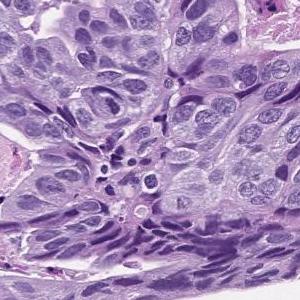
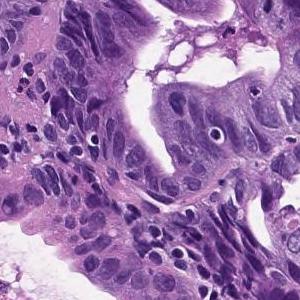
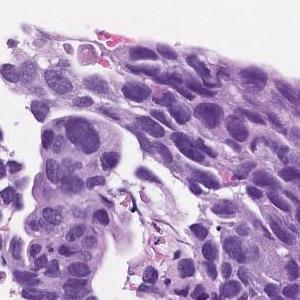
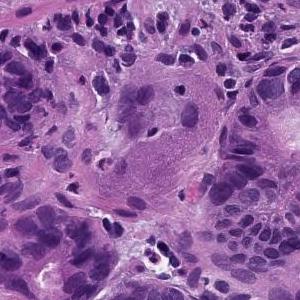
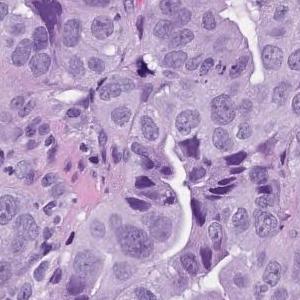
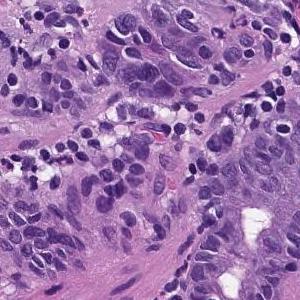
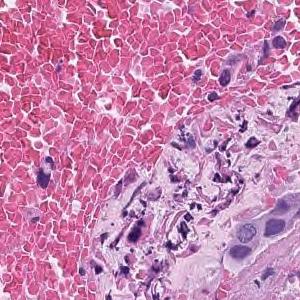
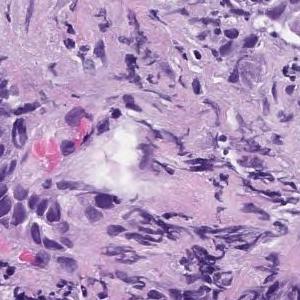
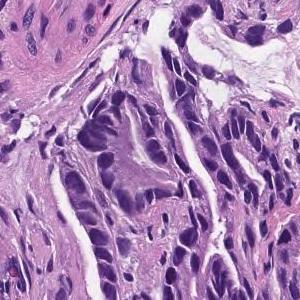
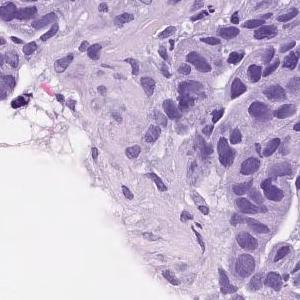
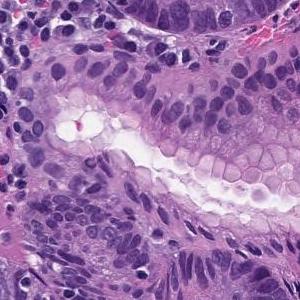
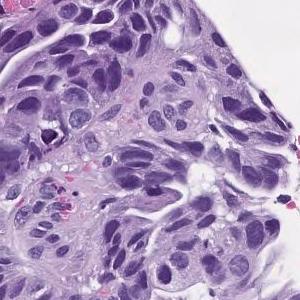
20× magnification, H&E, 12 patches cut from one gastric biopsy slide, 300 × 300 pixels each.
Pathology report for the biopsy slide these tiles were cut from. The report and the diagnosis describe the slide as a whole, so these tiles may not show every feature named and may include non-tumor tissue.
In the superficial epithelium, tumor tissue that invades by forming medium-sized to small, irregular ducts is observed. moderately differentiated tubular adenocarcinoma.
